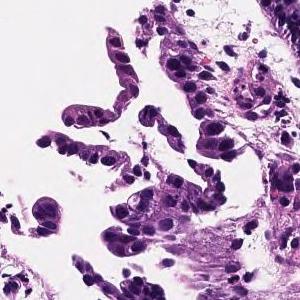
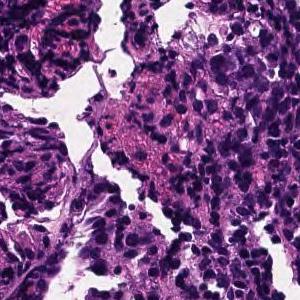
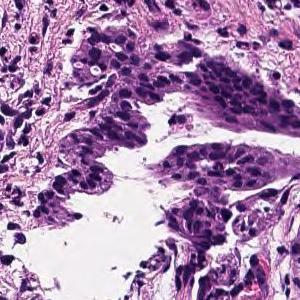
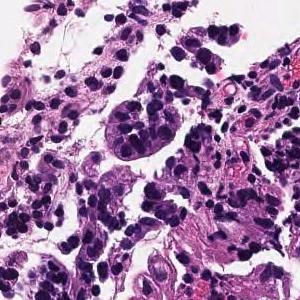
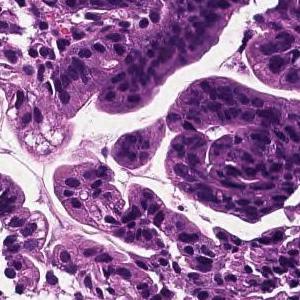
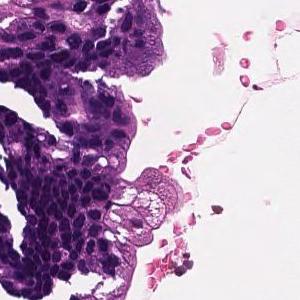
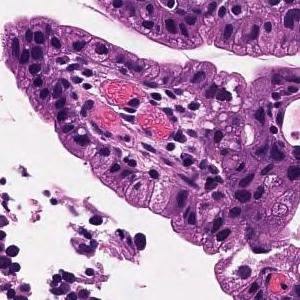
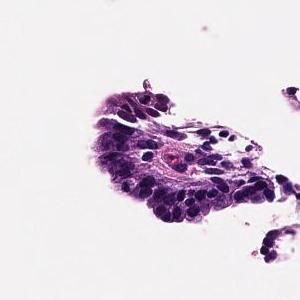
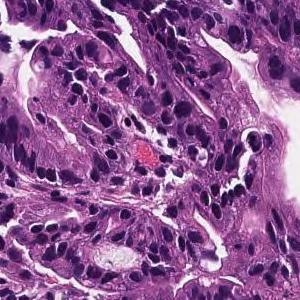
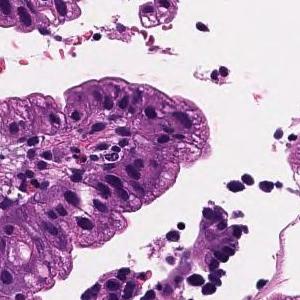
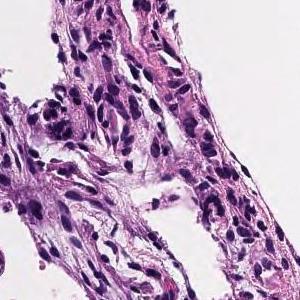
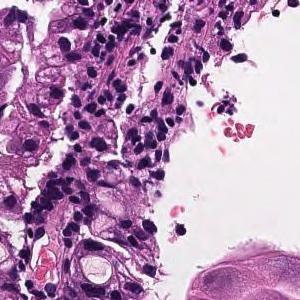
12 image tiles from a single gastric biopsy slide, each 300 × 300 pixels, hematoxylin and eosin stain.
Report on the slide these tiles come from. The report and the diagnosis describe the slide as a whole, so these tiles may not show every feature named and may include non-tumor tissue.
On the superficial epithelium, tumor tissue that infiltrates by forming medium-sized papillary or small irregular ducts is observed. Papillary adenocarcinoma
